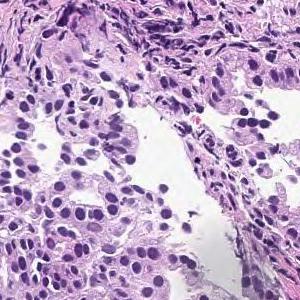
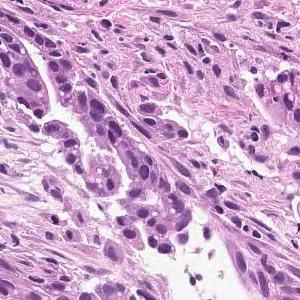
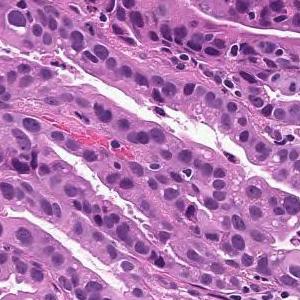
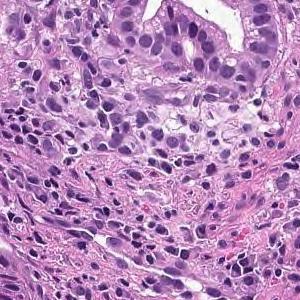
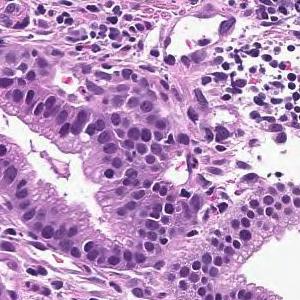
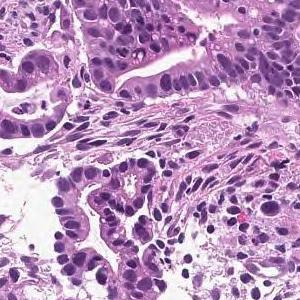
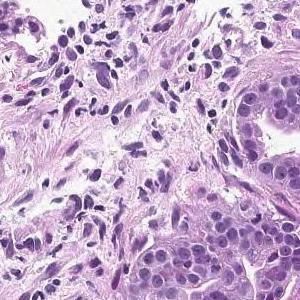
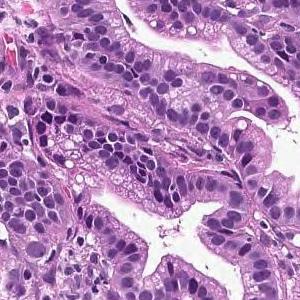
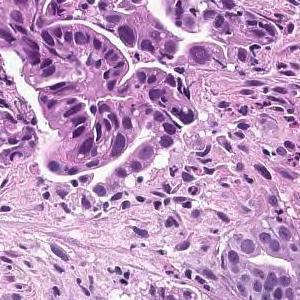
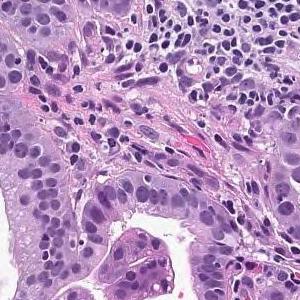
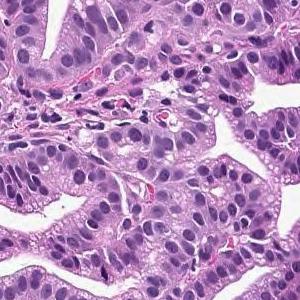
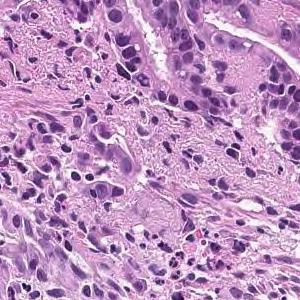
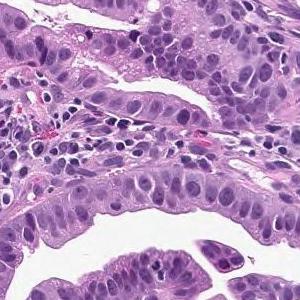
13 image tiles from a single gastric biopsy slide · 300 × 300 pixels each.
Report on the slide these tiles come from. The report describes the whole slide, diagnosis included: not every finding it names need appear in these tiles, which may also show non-tumor tissue.
On the superficial epithelium, tumor tissue that infiltrates by forming medium-sized papillary or small irregular ducts is observed. Papillary adenocarcinoma
